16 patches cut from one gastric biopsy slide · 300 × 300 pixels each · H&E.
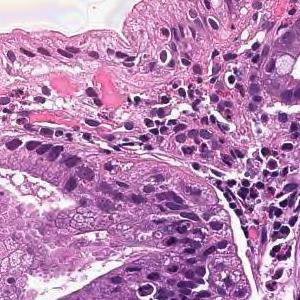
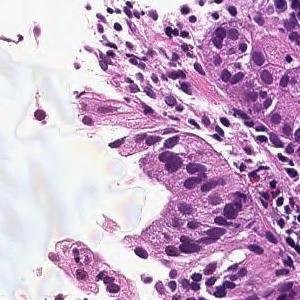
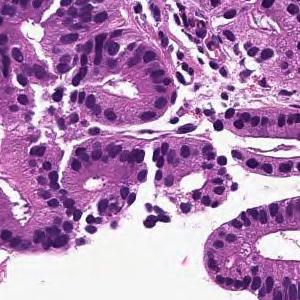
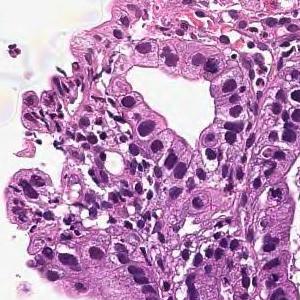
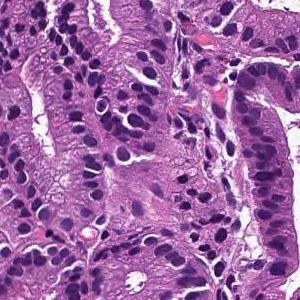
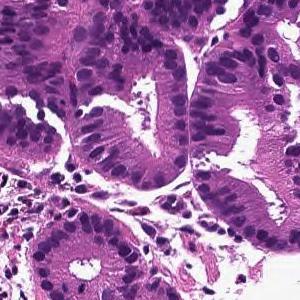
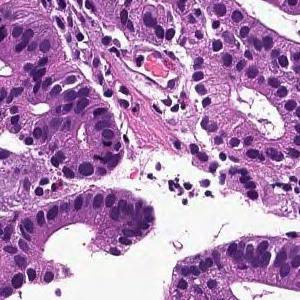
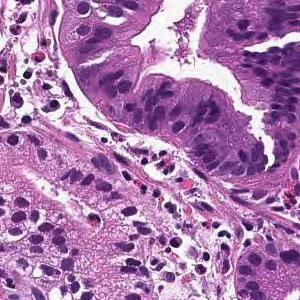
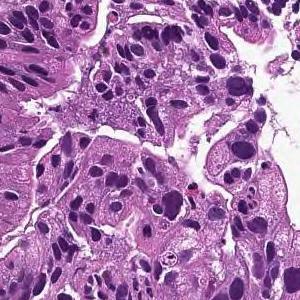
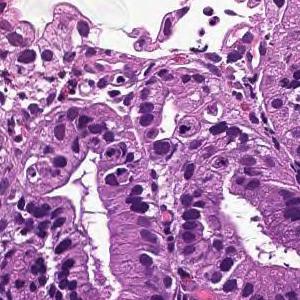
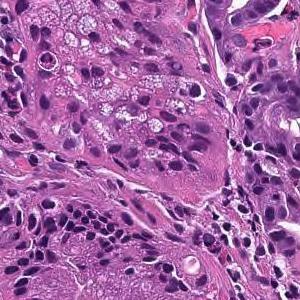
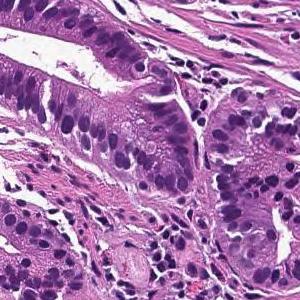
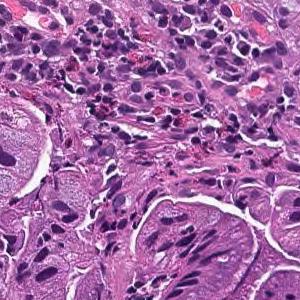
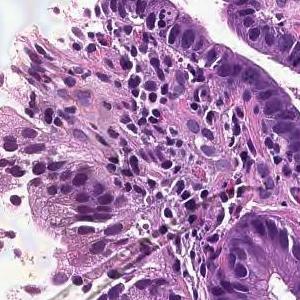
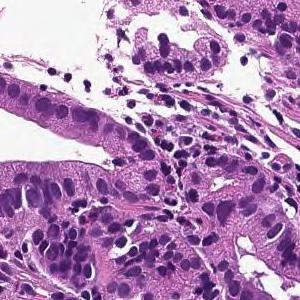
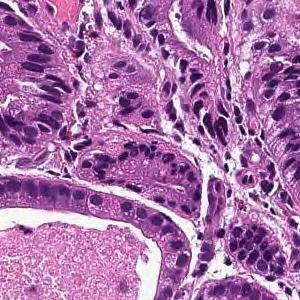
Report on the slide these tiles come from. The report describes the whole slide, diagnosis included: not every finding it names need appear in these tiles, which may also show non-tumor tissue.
Tumor cells are large, highly columnar, large club-shaped nuclei, and are associated with chromatin aggregation. Papillary adenocarcinoma.
